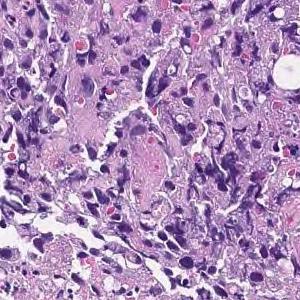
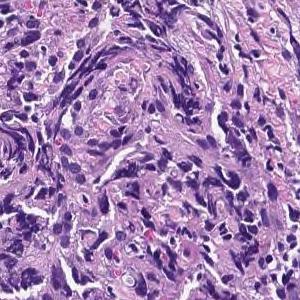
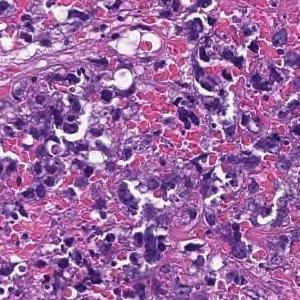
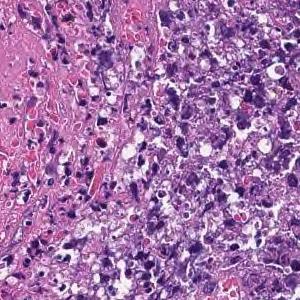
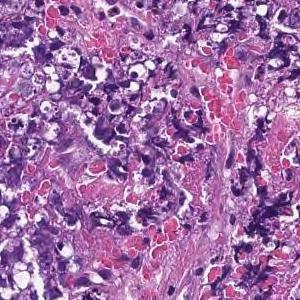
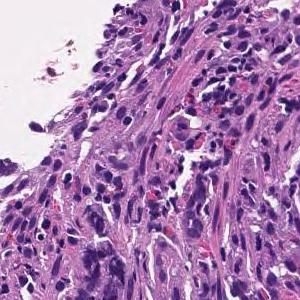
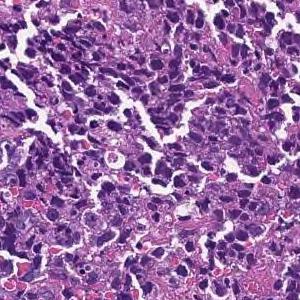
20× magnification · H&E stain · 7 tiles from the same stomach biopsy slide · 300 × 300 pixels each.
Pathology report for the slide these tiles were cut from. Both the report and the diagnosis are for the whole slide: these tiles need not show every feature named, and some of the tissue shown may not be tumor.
Most are composed of coagulative necrotic tissue, but some show a large sheet-like shape, and some show tumor tissue infiltrating with a small cord-like structure. Poorly differentiated adenocarcinoma, solid-type
Subtype: Poorly differentiated adenocarcinoma, solid type, a category of the Japanese Classification of Gastric Carcinoma; in the WHO 2019 classification it is tubular adenocarcinoma, poorly differentiated.
